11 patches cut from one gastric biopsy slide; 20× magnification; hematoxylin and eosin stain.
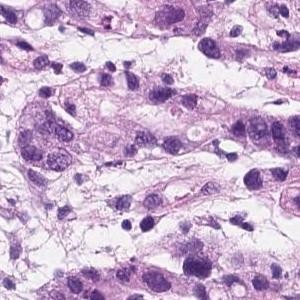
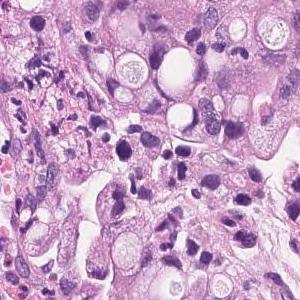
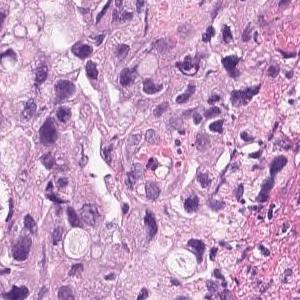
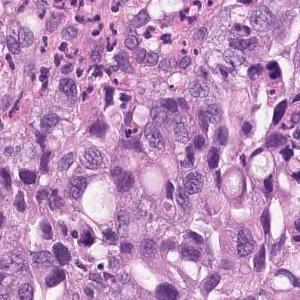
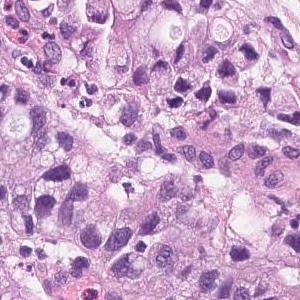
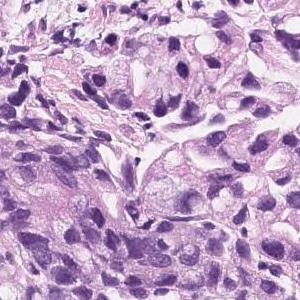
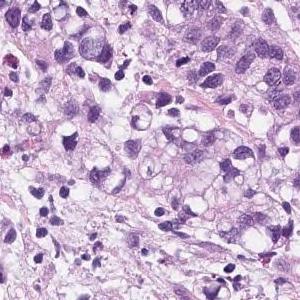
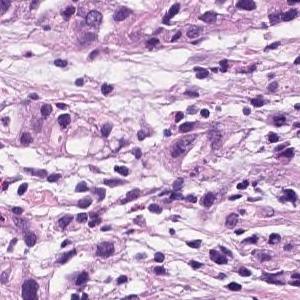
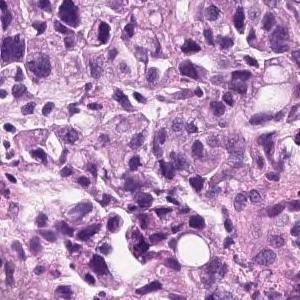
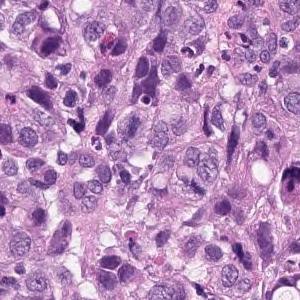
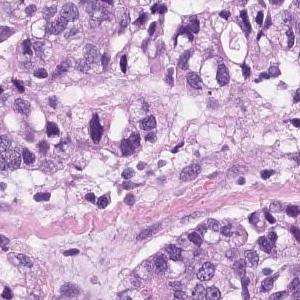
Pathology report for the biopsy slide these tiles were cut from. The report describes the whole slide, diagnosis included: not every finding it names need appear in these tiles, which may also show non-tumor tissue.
Group 5, Adenocarcinoma. Poorly differentiated adenocarcinoma, non-solid type
"Non-solid type" is a category of the Japanese Classification of Gastric Carcinoma.
